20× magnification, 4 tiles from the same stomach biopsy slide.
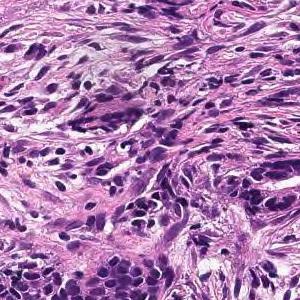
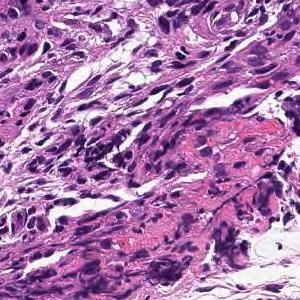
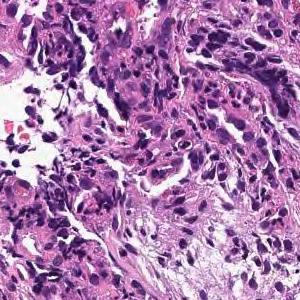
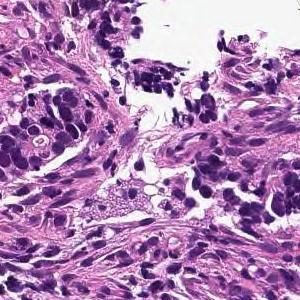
The pathologist's report on the biopsy slide these tiles were taken from. The findings and the diagnosis refer to the entire slide; these tiles show only part of it, possibly with non-tumor tissue, and may not show every feature named.
Tumor tissue consisting of medium-sized, cord-like or irregular glandular infiltration is observed in the superficial epithelium. Poorly differentiated adenocarcinoma, non-solid type or moderately differentiated tubular adenocarcinoma
Tumor subtype: moderately to poorly differentiated adenocarcinoma.
The term "non-solid type" comes from the Japanese Classification of Gastric Carcinoma.
